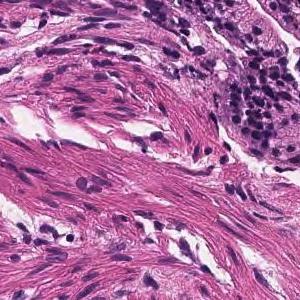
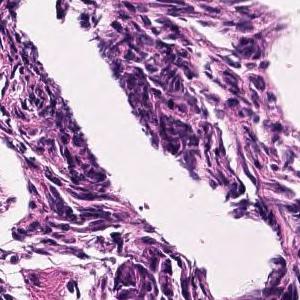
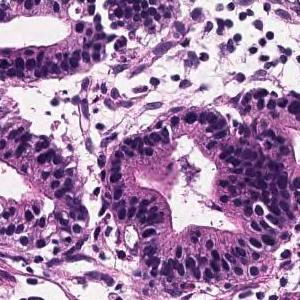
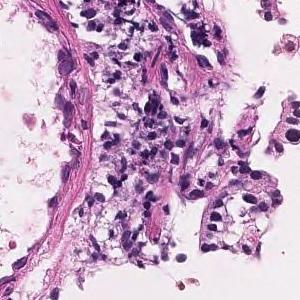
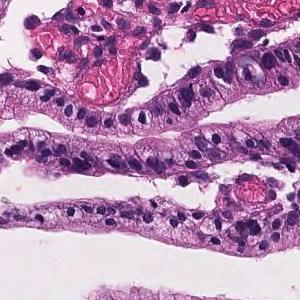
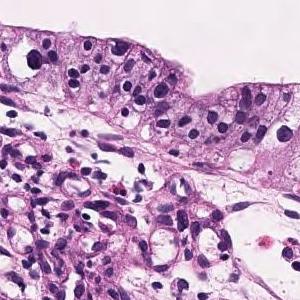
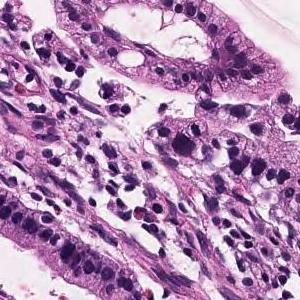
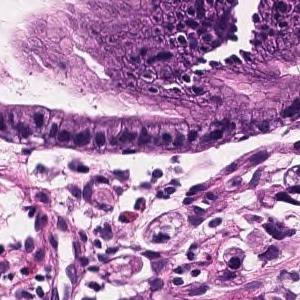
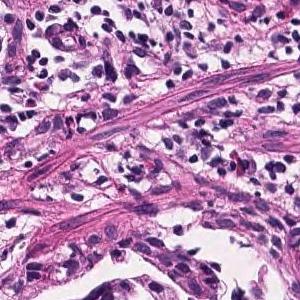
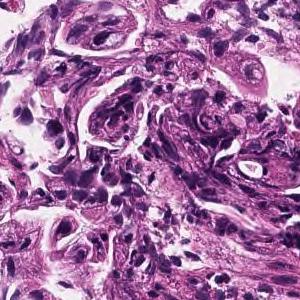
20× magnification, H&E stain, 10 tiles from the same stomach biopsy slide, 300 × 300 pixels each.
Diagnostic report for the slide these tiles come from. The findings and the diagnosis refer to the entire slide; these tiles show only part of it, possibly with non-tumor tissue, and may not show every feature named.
Tumor tissue consisting of large papillary structures or irregular glandular ducts partially fused and infiltrated is observed in the superficial epithelium. Well to moderately differentiated tubular adenocarcinoma.
Labeled in the dataset as moderately differentiated tubular adenocarcinoma.
